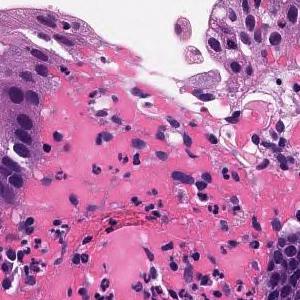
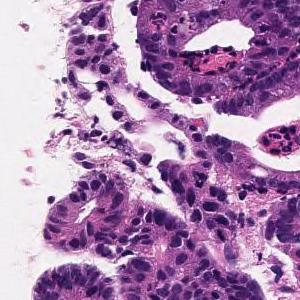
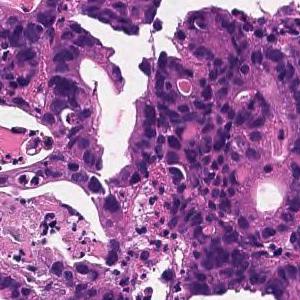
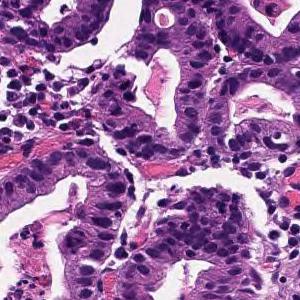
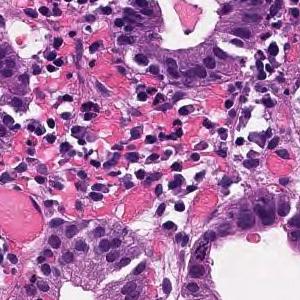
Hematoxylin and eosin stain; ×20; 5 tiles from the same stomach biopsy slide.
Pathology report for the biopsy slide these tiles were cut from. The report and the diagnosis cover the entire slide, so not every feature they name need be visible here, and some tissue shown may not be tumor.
In the superficial epithelium, tumor tissue that invades by forming medium-sized to small, irregular ducts is observed. moderately differentiated tubular adenocarcinoma.
